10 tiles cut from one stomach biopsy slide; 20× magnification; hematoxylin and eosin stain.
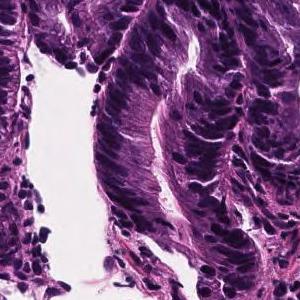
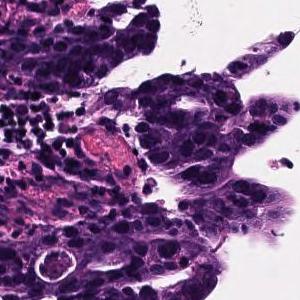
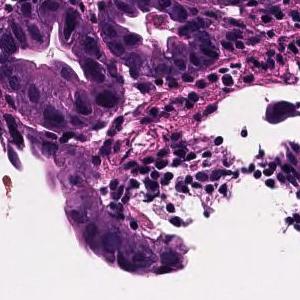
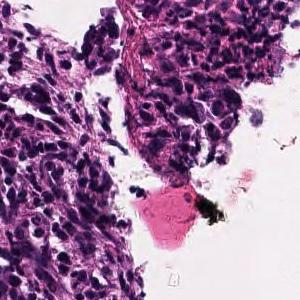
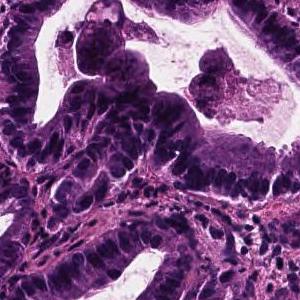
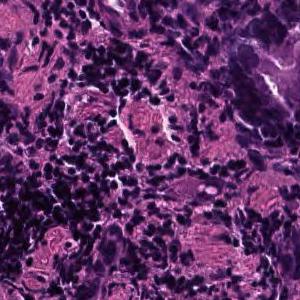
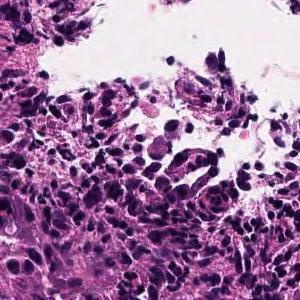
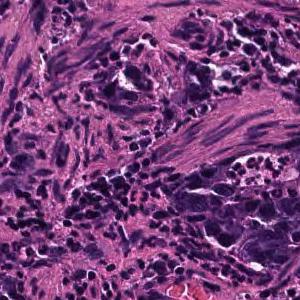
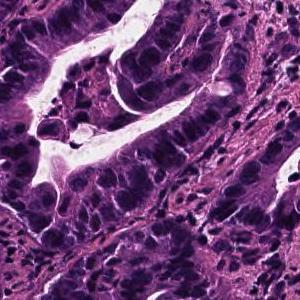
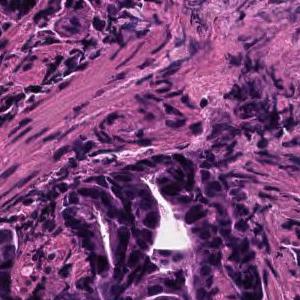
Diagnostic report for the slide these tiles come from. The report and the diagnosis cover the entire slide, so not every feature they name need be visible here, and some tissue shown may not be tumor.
On the superficial epithelium, tumor tissue consisting of large, irregular glandular ducts partially fused and infiltrated is observed. Well to moderately differentiated tubular adenocarcinoma (well differentiated tubular adenocarcinoma, moderately differentiated tubular adenocarcinoma)
Subtype: Well to moderately differentiated tubular adenocarcinoma.
